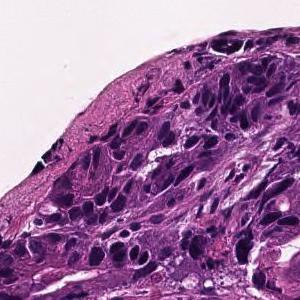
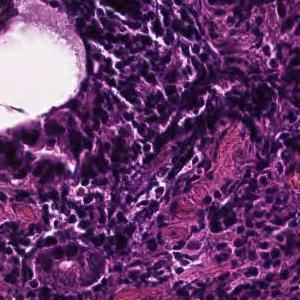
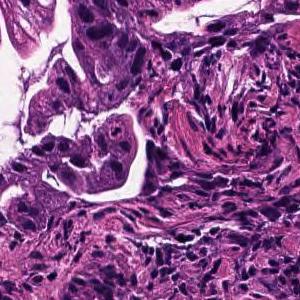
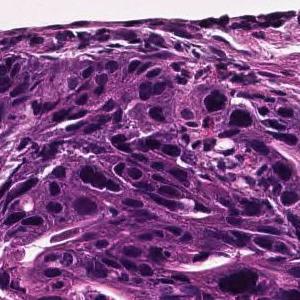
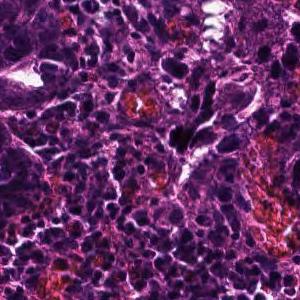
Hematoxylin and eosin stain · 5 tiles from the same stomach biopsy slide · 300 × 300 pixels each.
Pathology report for the biopsy slide these tiles were cut from. The report describes the whole slide, diagnosis included: not every finding it names need appear in these tiles, which may also show non-tumor tissue.
In the superficial epithelium, tumor tissue that invades by forming medium-sized to small, irregular ducts is observed. moderately differentiated tubular adenocarcinoma.
